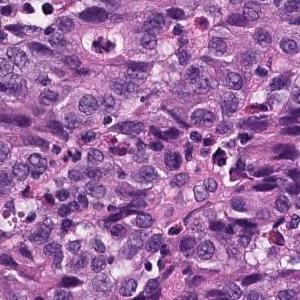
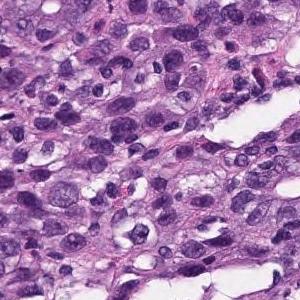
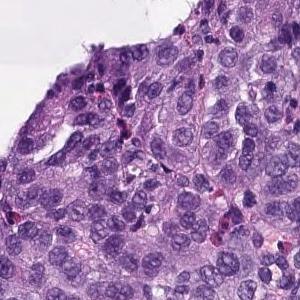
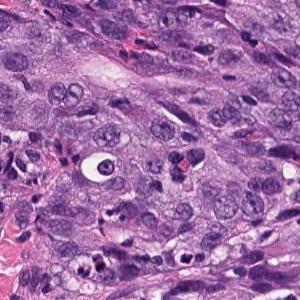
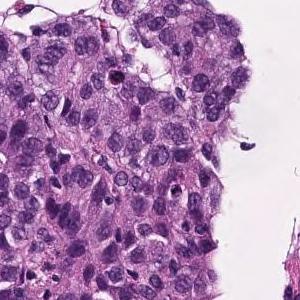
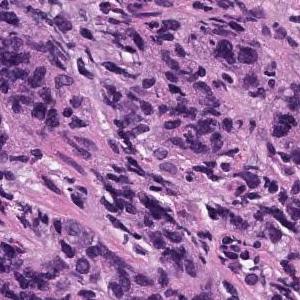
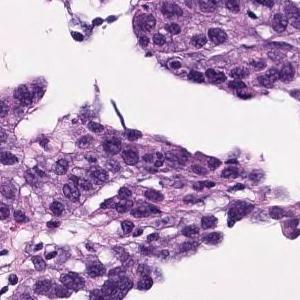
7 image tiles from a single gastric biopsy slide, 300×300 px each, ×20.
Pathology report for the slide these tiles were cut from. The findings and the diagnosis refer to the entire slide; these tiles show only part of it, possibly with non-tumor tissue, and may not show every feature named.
In the superficial epithelium, tumor tissue that invades by forming medium-sized to small, irregular ducts is observed. Moderately differentiated adenocarcinoma.
Subtype: Moderately differentiated tubular adenocarcinoma.
